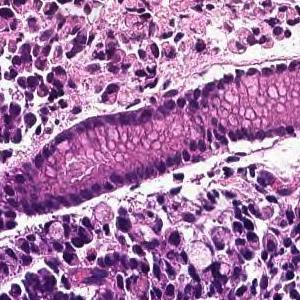
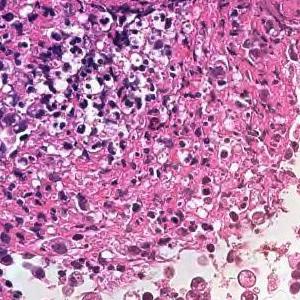
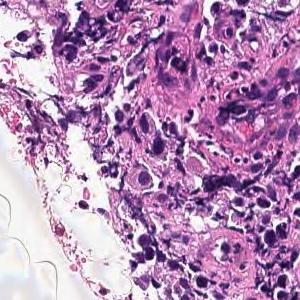
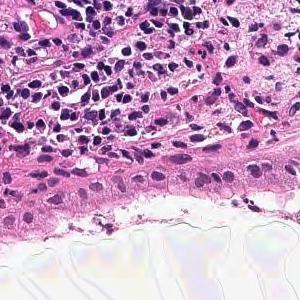
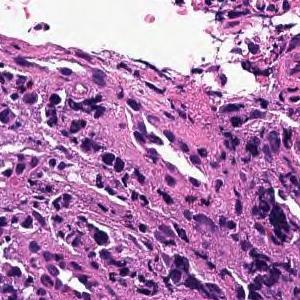
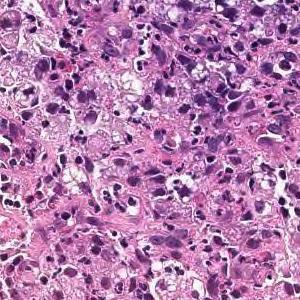
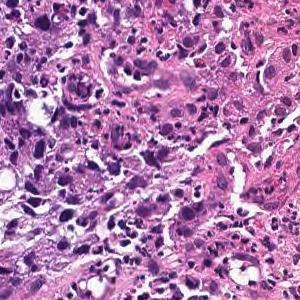
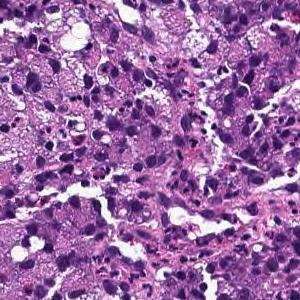
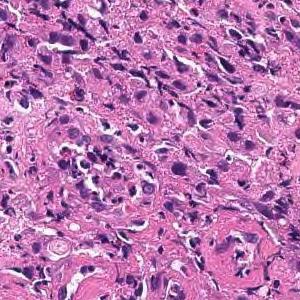
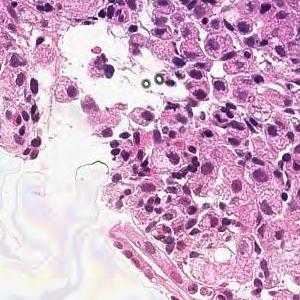
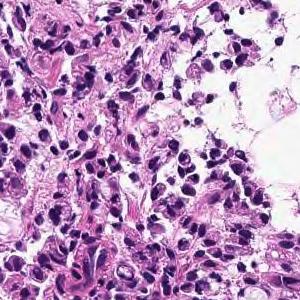
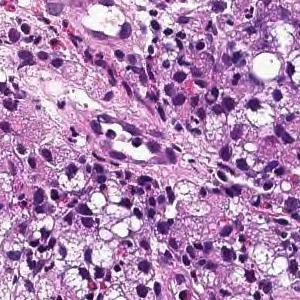
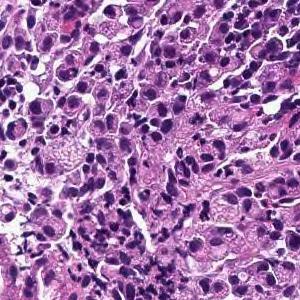
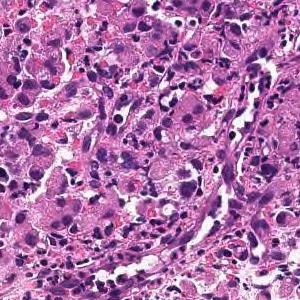
H&E, scanned at ×20, 14 image tiles from a single gastric biopsy slide.
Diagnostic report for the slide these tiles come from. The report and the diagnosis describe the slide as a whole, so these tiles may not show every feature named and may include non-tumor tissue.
Tumor tissue consisting of diffusely infiltrated large atypical epithelial cells or signet ring atypical cells is observed in the superficial epithelium. Poorly differentiated adenocarcinoma, solid-type
Classified as poorly differentiated adenocarcinoma, solid type, a category of the Japanese Classification of Gastric Carcinoma; in the WHO 2019 classification it is tubular adenocarcinoma, poorly differentiated.
